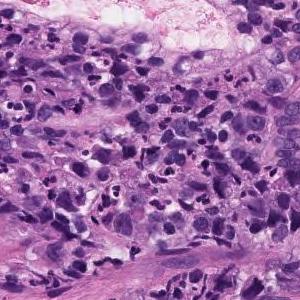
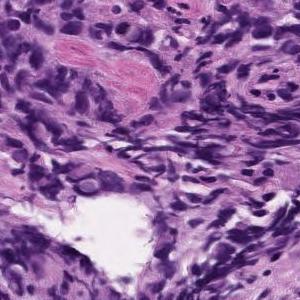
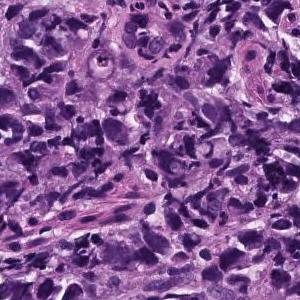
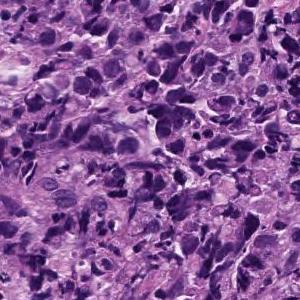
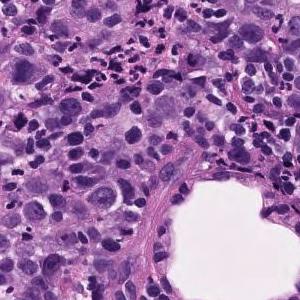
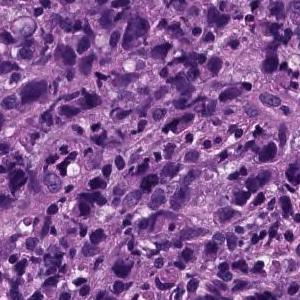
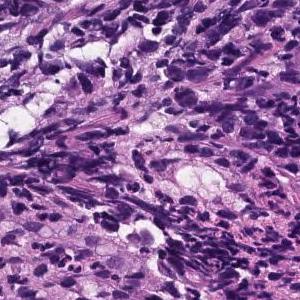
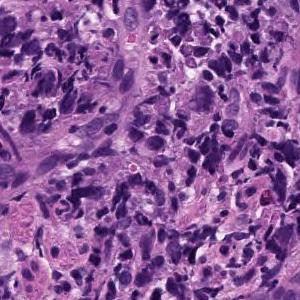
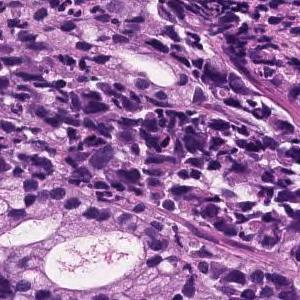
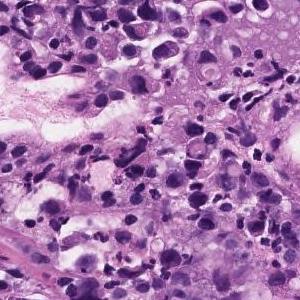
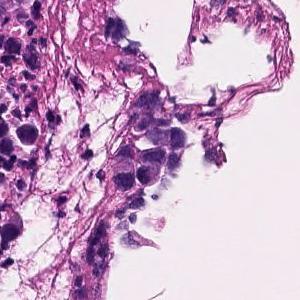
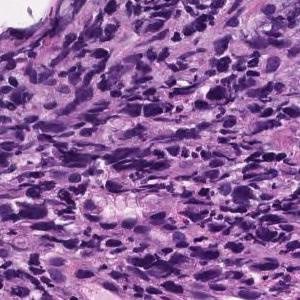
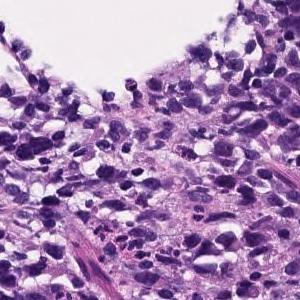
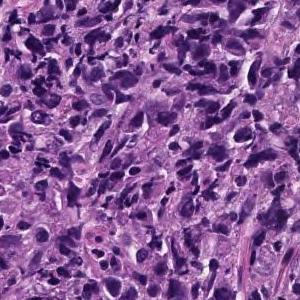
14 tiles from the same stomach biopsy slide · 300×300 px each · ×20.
The pathologist's report on the biopsy slide these tiles were taken from. Both the report and the diagnosis are for the whole slide: these tiles need not show every feature named, and some of the tissue shown may not be tumor.
Poorly differentiated, solid adenocarcinoma (poorly differentiated adenocarcinoma, solid type) with tumor tissue diffusely infiltrated with atypical epithelial cells
Classified as poorly differentiated adenocarcinoma, solid type (Japanese Classification of Gastric Carcinoma). The WHO 2019 equivalent is tubular adenocarcinoma, poorly differentiated.
